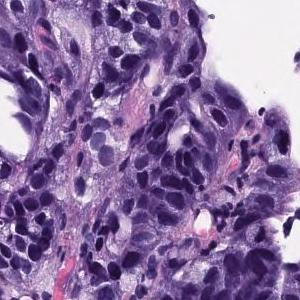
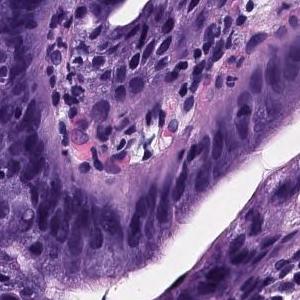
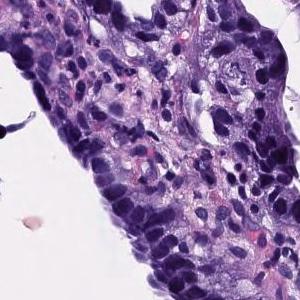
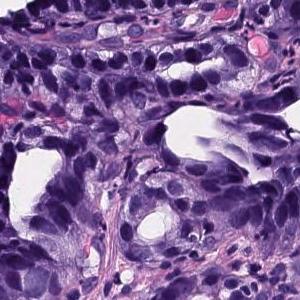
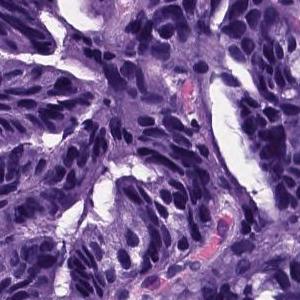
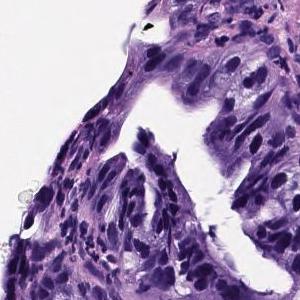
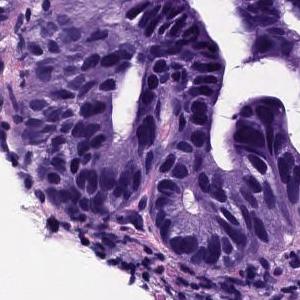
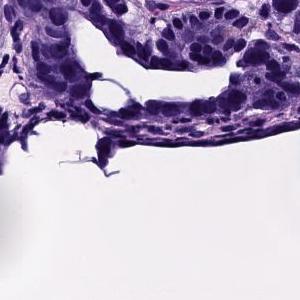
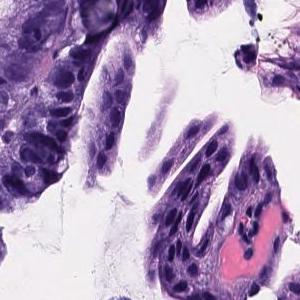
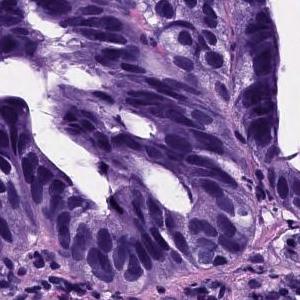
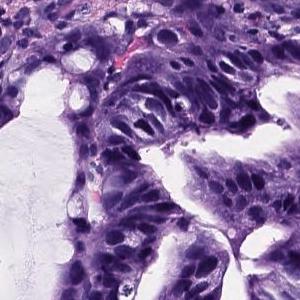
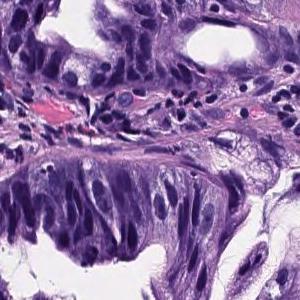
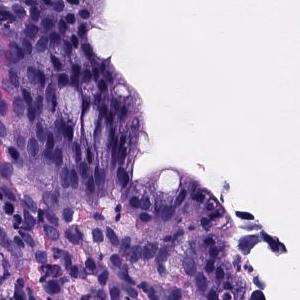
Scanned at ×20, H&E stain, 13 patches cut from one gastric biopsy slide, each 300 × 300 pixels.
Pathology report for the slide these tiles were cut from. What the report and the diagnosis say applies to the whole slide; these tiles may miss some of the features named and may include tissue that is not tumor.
Large atypical cells which form medium to large ducts are proliferating. Well differentiated adenocarcinoma (well differentiated tubular adenocarcinoma)
Tumor subtype: well differentiated tubular adenocarcinoma.
